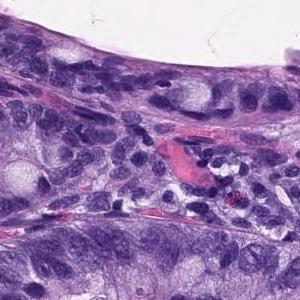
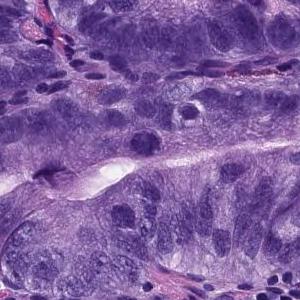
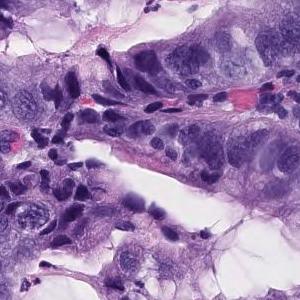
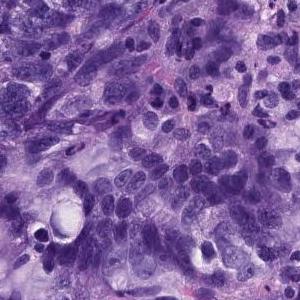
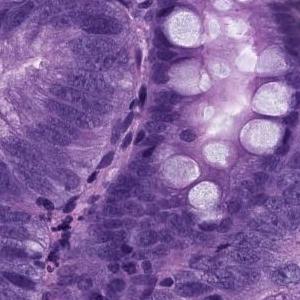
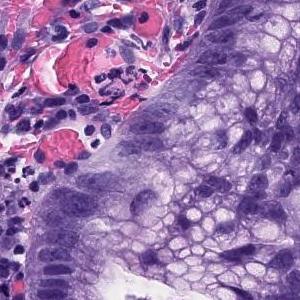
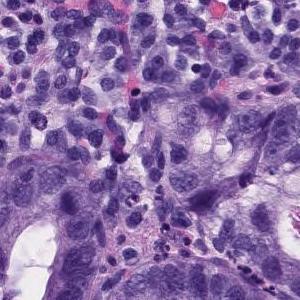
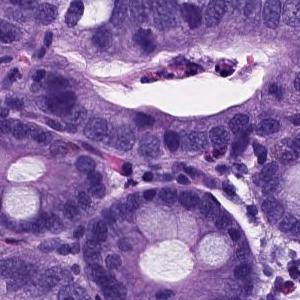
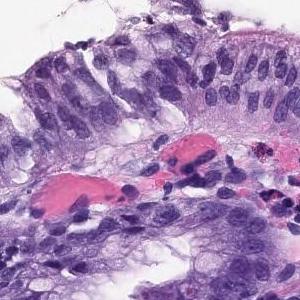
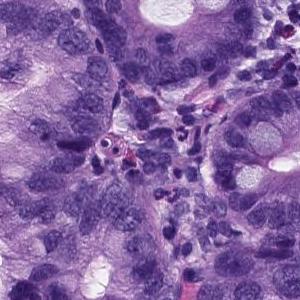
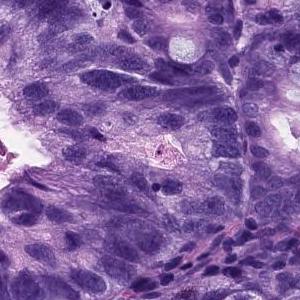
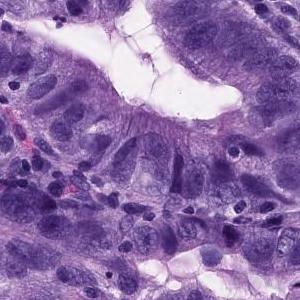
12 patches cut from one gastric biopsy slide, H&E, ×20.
Diagnostic report for the slide these tiles come from. Both the report and the diagnosis are for the whole slide: these tiles need not show every feature named, and some of the tissue shown may not be tumor.
There are large atypical epithelial cells infiltrating and proliferating while forming atypical glandular cavities showing a fusion tendency. Moderately differentiated tubular adenocarcinoma.
